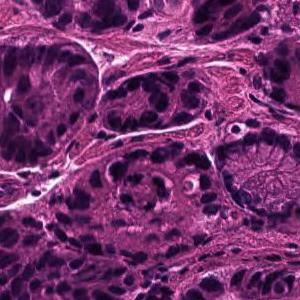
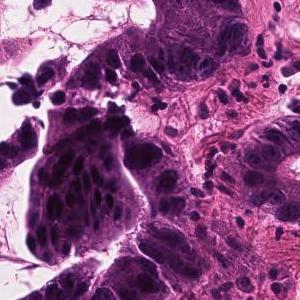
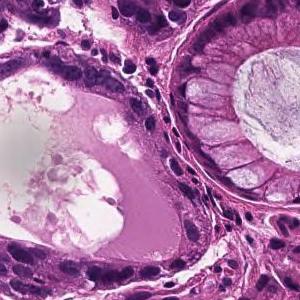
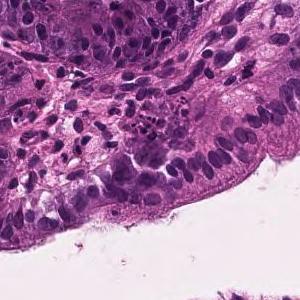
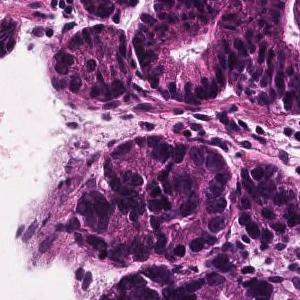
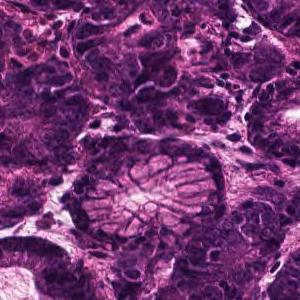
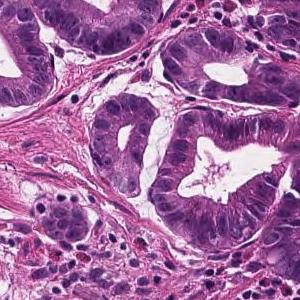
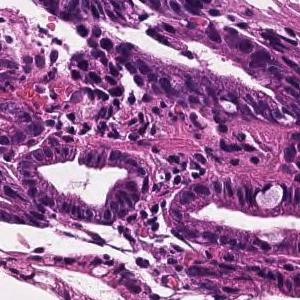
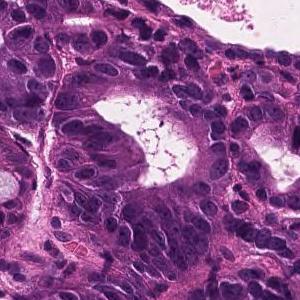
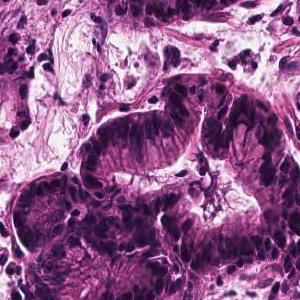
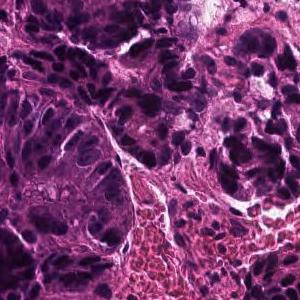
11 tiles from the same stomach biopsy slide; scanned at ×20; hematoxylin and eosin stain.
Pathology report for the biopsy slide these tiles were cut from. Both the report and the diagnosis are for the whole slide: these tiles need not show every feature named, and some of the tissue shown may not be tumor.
In the superficial epithelium, tumor tissue that invades by forming medium-sized to small, irregular ducts is observed. Well differentiated tubular adenocarcinoma.
